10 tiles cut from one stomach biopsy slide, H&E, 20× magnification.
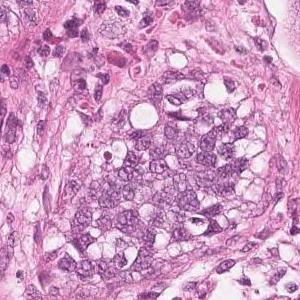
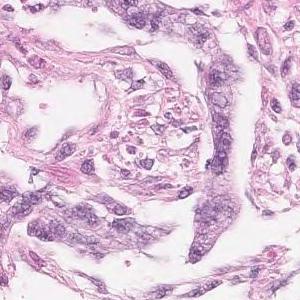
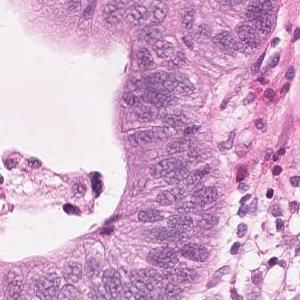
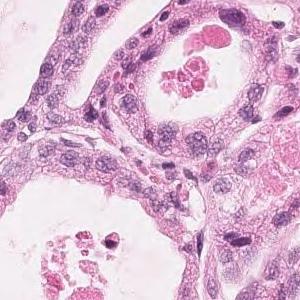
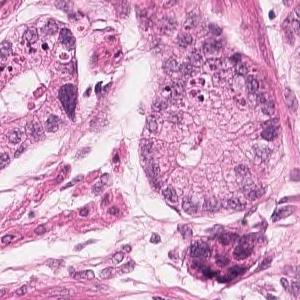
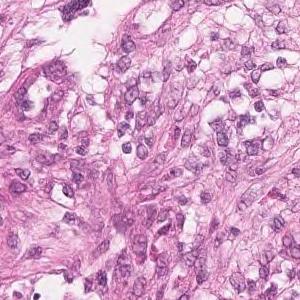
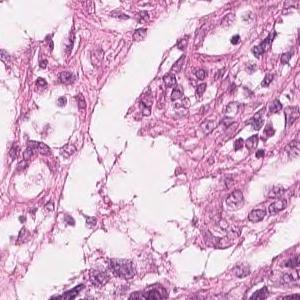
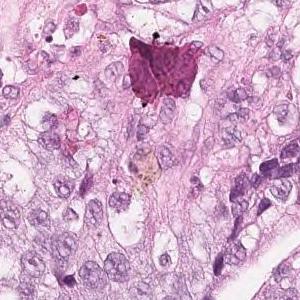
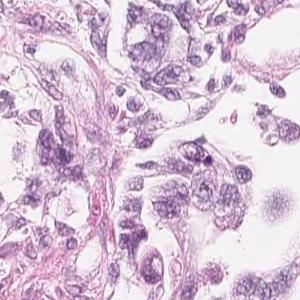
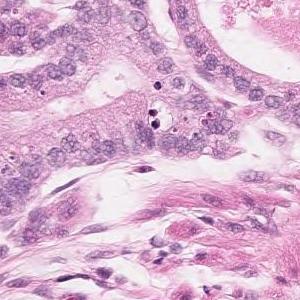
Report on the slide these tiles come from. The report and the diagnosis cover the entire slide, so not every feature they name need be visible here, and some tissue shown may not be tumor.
Highly columnar epithelium with disordered nuclear localization proliferates showing fusion ductal construction. moderately differentiated tubular adenocarcinoma
